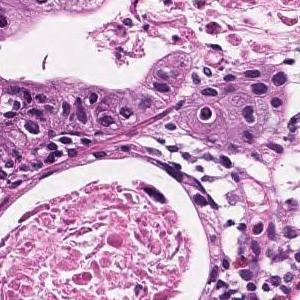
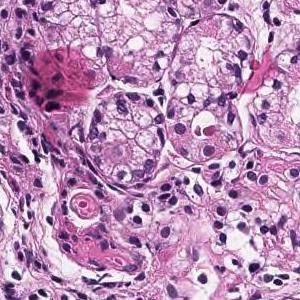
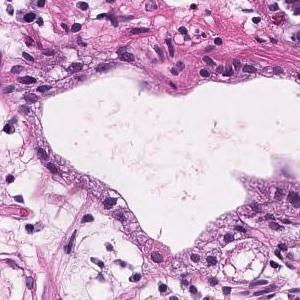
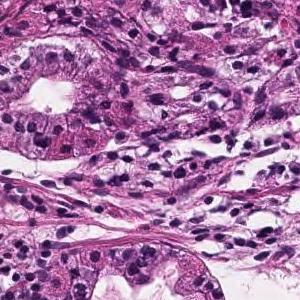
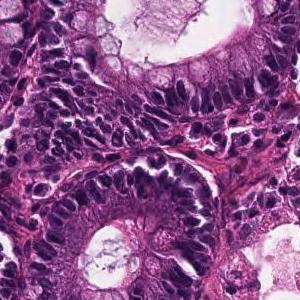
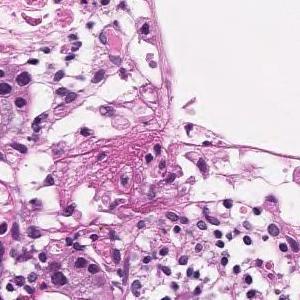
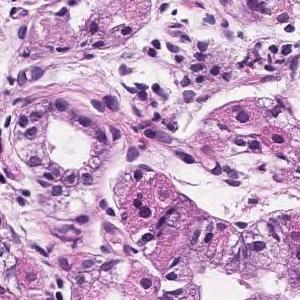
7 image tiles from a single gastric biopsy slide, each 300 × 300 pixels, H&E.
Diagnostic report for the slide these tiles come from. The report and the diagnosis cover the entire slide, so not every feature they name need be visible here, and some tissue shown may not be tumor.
Tumor tissue in which medium to small irregular ducts infiltrate and proliferate in the submucosa can be seen in the epithelium. Well differentiated tubular adenocarcinoma
